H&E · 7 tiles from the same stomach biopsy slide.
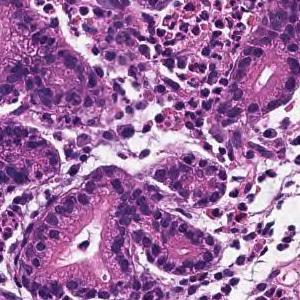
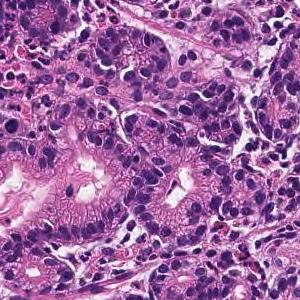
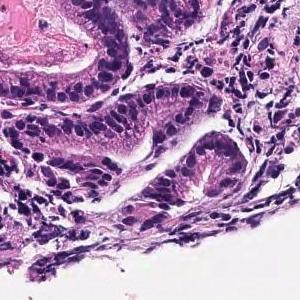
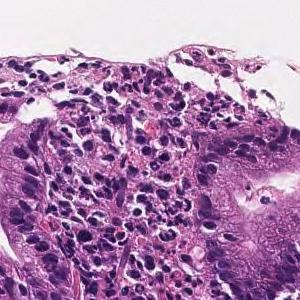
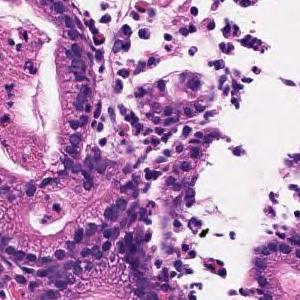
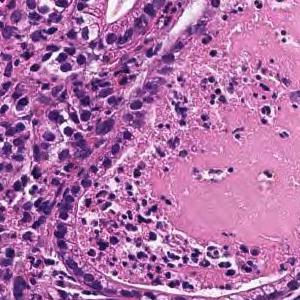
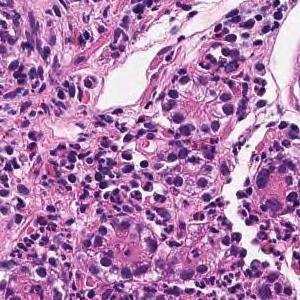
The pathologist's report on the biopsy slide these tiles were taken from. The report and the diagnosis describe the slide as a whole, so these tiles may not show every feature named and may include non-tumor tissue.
Tumor tissue infiltrated and proliferated with small to medium-sized irregular tubules is observed in the superficial epithelium. Well differentiated tubular adenocarcinoma
